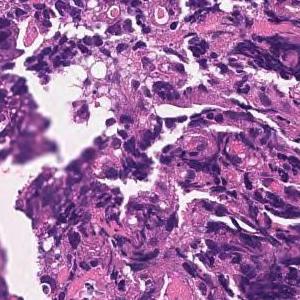
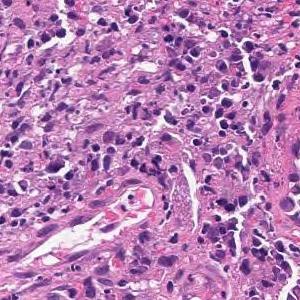
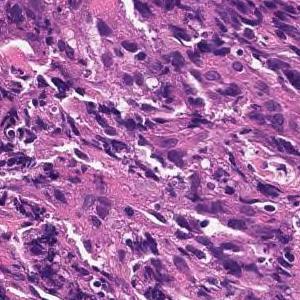
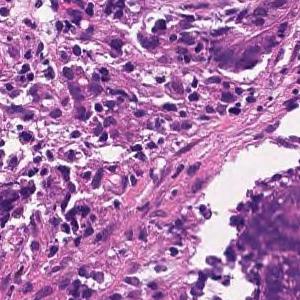
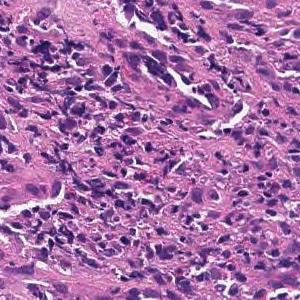
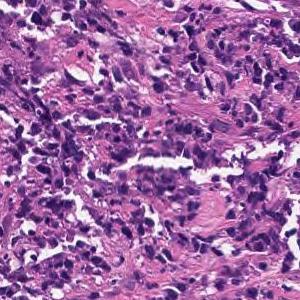
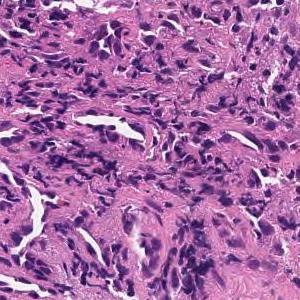
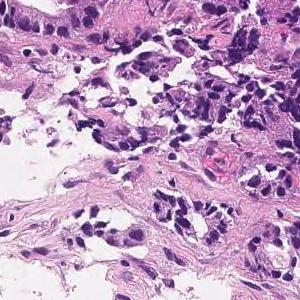
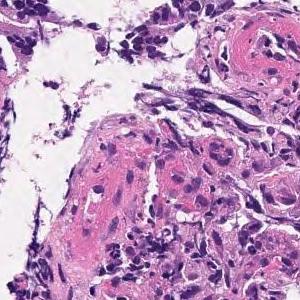
9 tiles cut from one stomach biopsy slide, 300×300 px each, scanned at ×20.
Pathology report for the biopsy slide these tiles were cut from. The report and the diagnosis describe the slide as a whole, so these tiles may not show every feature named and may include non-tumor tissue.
Tumor tissue consisting of medium-sized, cord-like or irregular glandular infiltration is observed in the superficial epithelium. Poorly differentiated adenocarcinoma, non-solid type or moderately differentiated tubular adenocarcinoma
Subtype: Moderately to poorly differentiated adenocarcinoma.
The non-solid type named here is a Japanese Classification of Gastric Carcinoma category.
